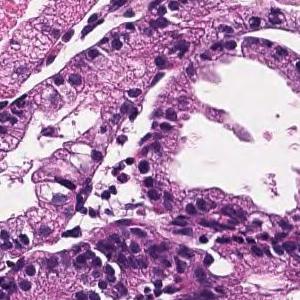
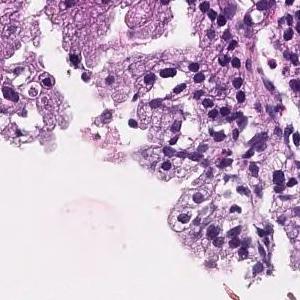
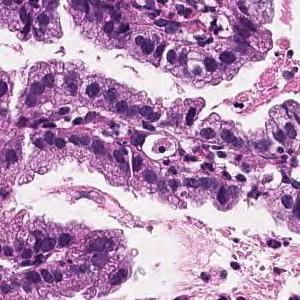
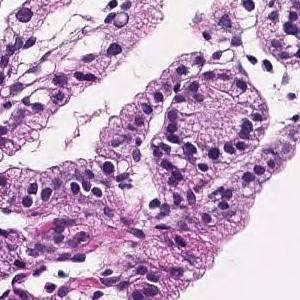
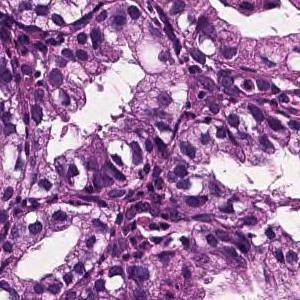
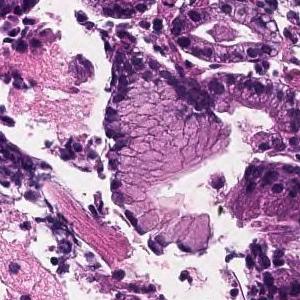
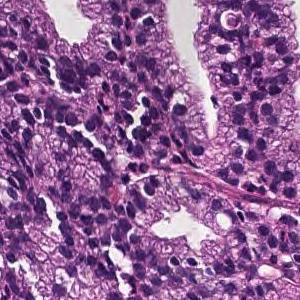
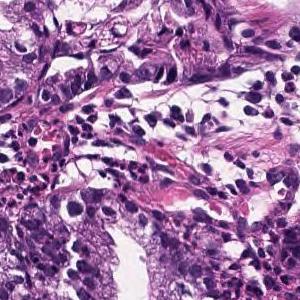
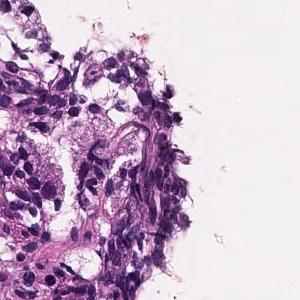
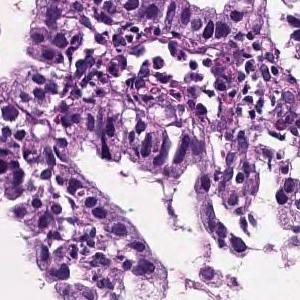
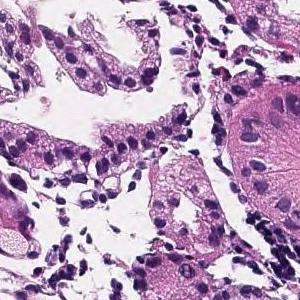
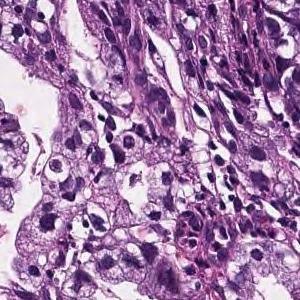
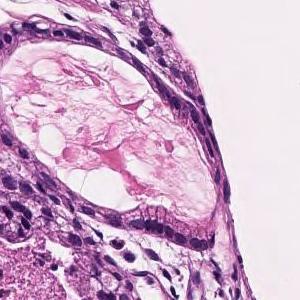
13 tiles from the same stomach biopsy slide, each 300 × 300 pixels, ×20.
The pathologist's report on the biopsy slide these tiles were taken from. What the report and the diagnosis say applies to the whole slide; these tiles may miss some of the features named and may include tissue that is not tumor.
In the superficial epithelium, tumor tissue that infiltrates by forming medium-sized papillary or small irregular ducts is observed. Papillary adenocarcinoma
